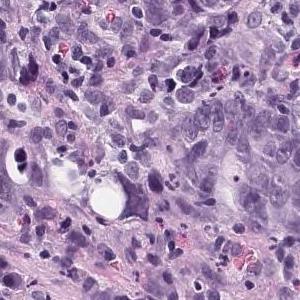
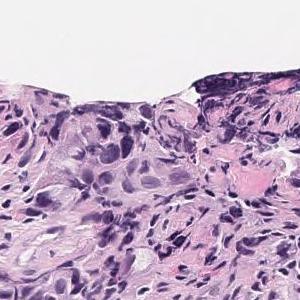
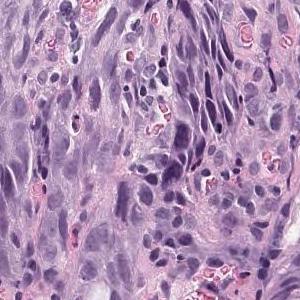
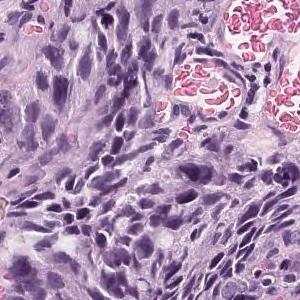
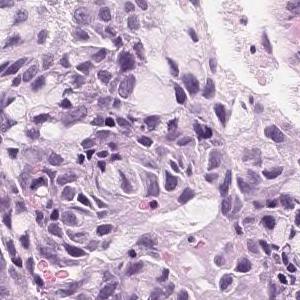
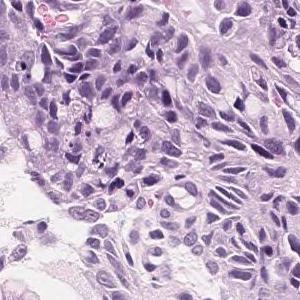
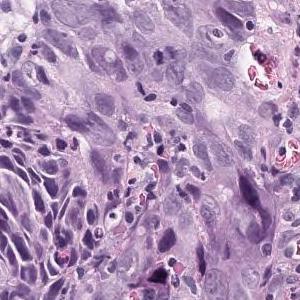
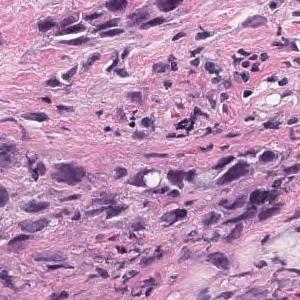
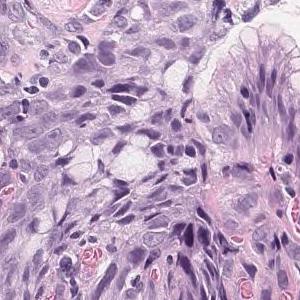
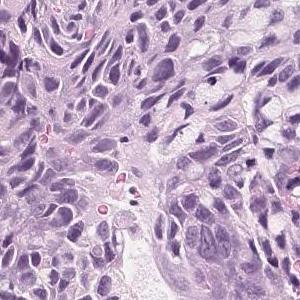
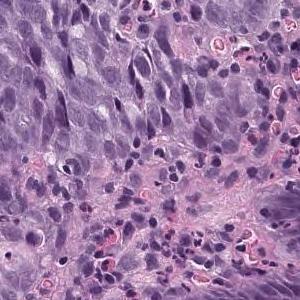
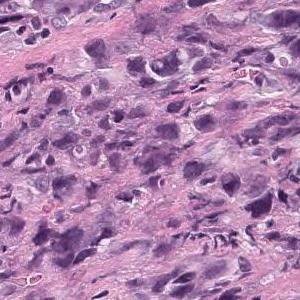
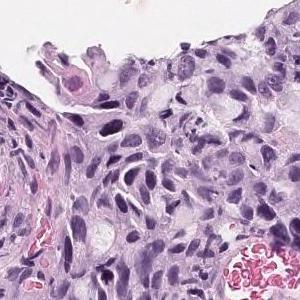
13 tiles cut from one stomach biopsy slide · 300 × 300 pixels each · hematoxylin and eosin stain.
Diagnostic report for the slide these tiles come from. The report describes the whole slide, diagnosis included: not every finding it names need appear in these tiles, which may also show non-tumor tissue.
Large atypical epithelial cells showing polymorphism form solid alveolar lesions, and tumor tissue infiltrating with microglandular cavities is observed. Poorly differentiated adenocarcinoma, solid-type
Subtype: Poorly differentiated adenocarcinoma, solid type (Japanese Classification of Gastric Carcinoma). The WHO 2019 equivalent is tubular adenocarcinoma, poorly differentiated.
